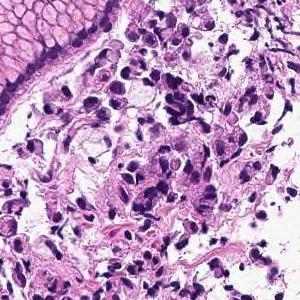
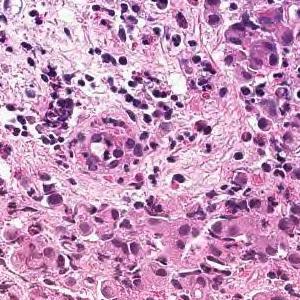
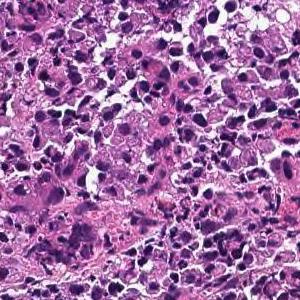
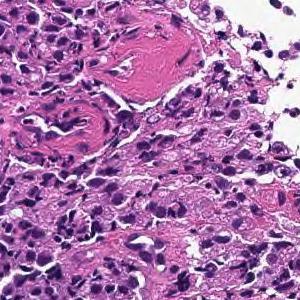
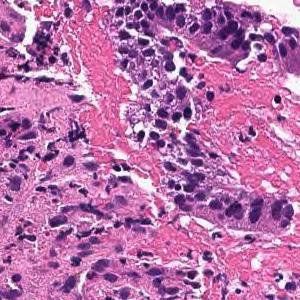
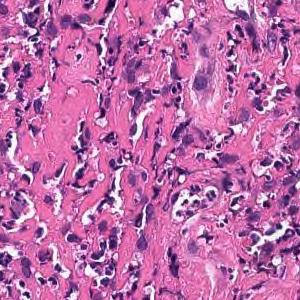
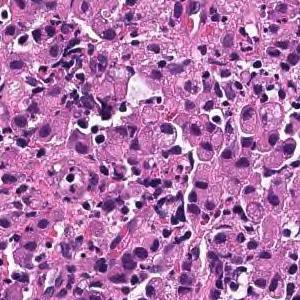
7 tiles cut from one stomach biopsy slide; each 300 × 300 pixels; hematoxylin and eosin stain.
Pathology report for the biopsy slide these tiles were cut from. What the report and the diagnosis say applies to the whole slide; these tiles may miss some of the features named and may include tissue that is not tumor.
Tumor tissue consisting of diffusely infiltrated large atypical epithelial cells or signet ring atypical cells is observed in the superficial epithelium. Poorly differentiated adenocarcinoma, solid-type
Classified as poorly differentiated adenocarcinoma, solid type (Japanese Classification of Gastric Carcinoma). The WHO 2019 equivalent is tubular adenocarcinoma, poorly differentiated.
